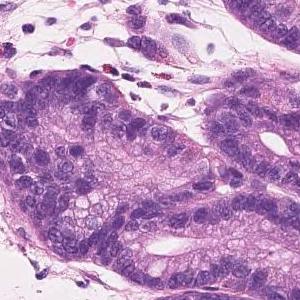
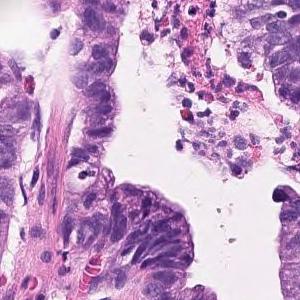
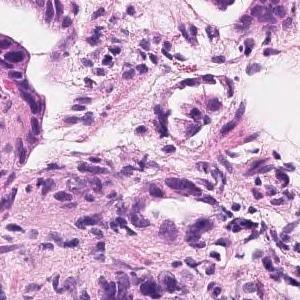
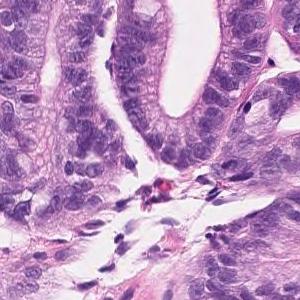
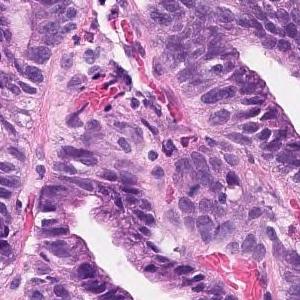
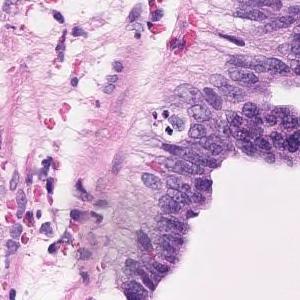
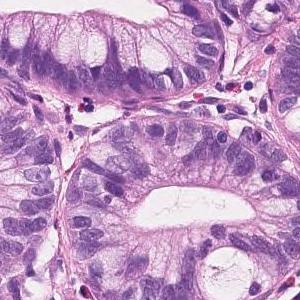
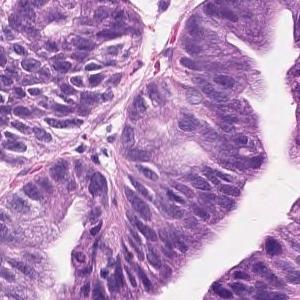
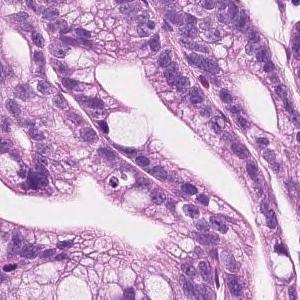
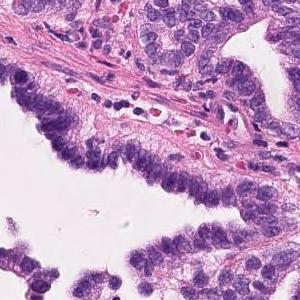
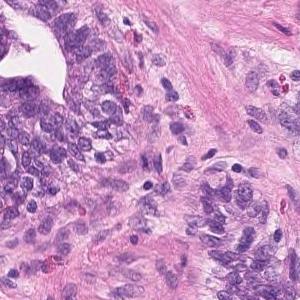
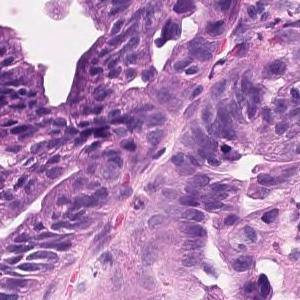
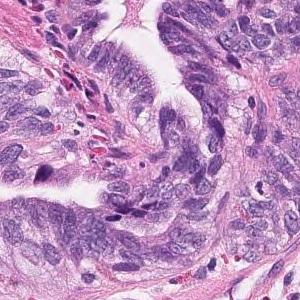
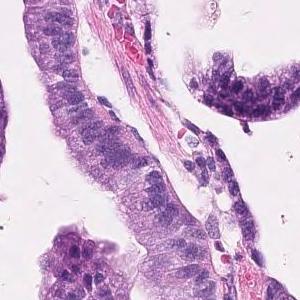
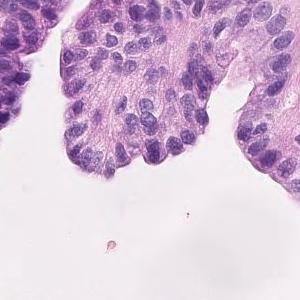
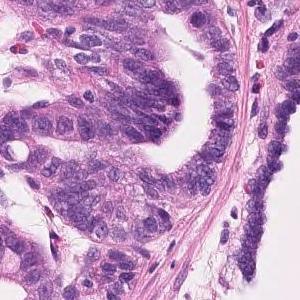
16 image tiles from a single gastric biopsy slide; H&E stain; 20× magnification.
Report on the slide these tiles come from. What the report and the diagnosis say applies to the whole slide; these tiles may miss some of the features named and may include tissue that is not tumor.
Tumor cells are large, highly columnar, large club-shaped nuclei, and are associated with chromatin aggregation. Papillary adenocarcinoma.
